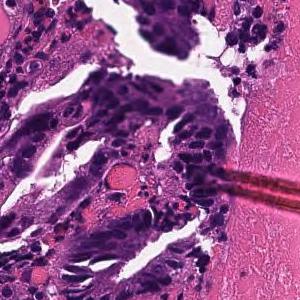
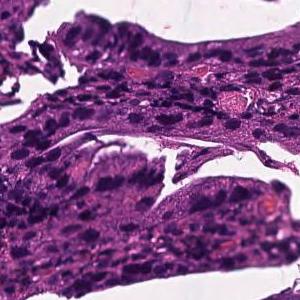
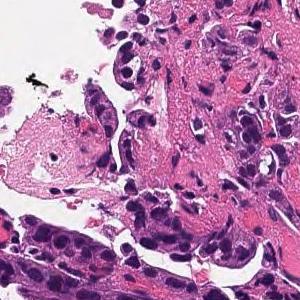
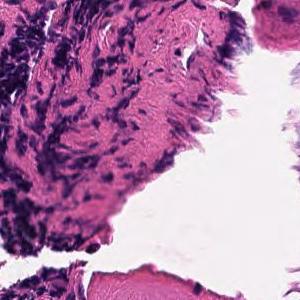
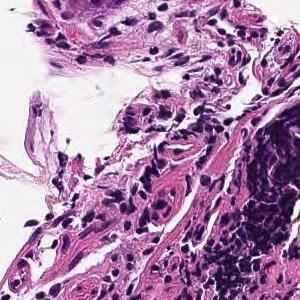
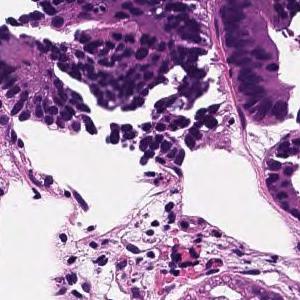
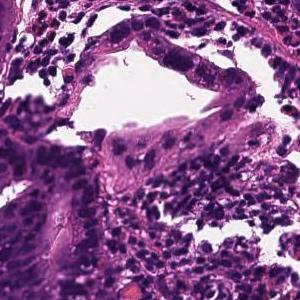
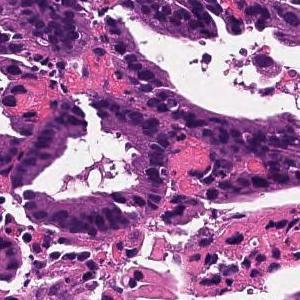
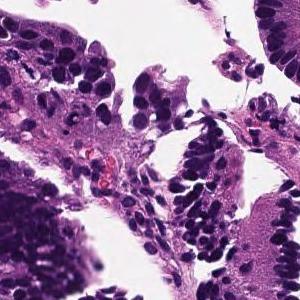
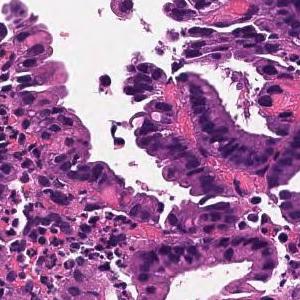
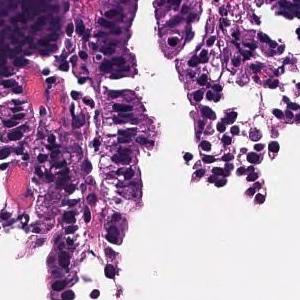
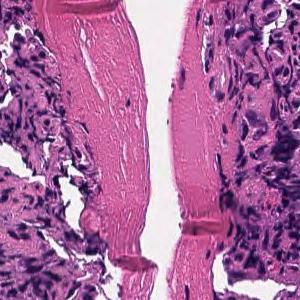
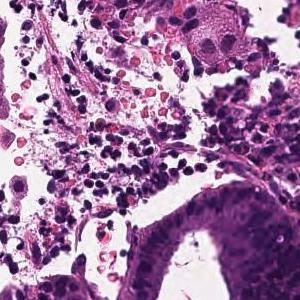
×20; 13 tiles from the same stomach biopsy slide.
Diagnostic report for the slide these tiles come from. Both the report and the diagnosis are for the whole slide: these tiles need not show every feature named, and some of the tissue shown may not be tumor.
Tumor cells are large, highly columnar, large club-shaped nuclei, and are associated with chromatin aggregation. Papillary adenocarcinoma.
